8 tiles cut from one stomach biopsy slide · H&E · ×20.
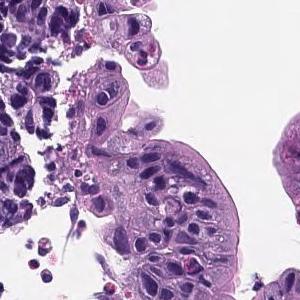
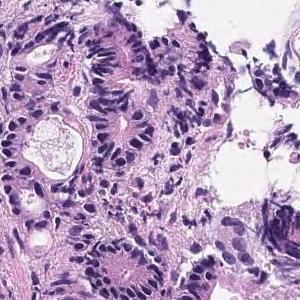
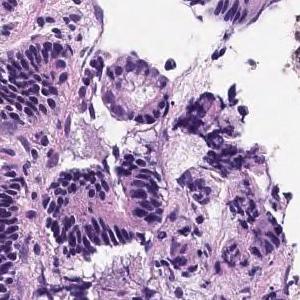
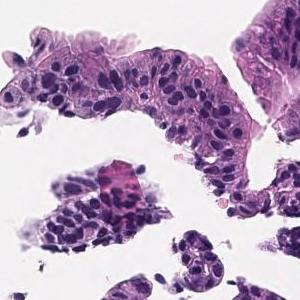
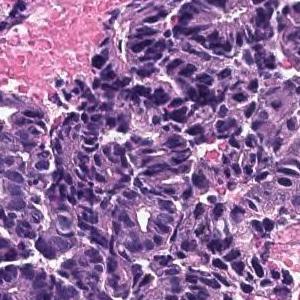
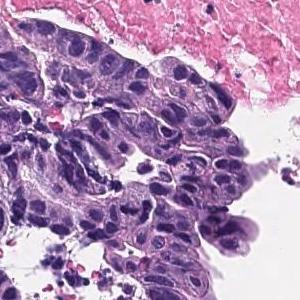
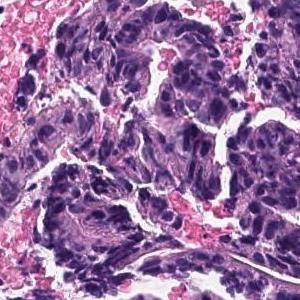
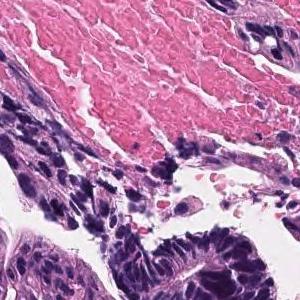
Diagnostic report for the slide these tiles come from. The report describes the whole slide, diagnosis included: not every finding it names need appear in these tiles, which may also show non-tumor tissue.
In the superficial epithelium, tumor tissue that invades by forming medium-sized to small, irregular ducts is observed. Moderately differentiated adenocarcinoma.
Subtype: Moderately differentiated tubular adenocarcinoma.
